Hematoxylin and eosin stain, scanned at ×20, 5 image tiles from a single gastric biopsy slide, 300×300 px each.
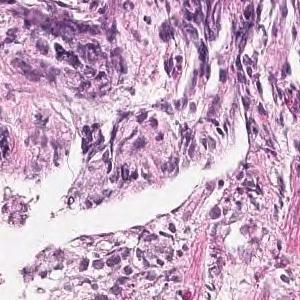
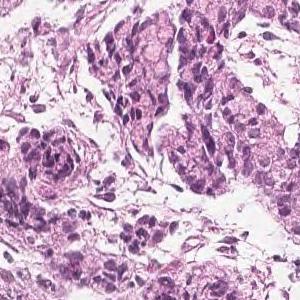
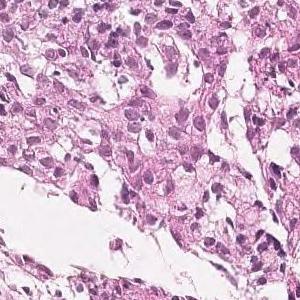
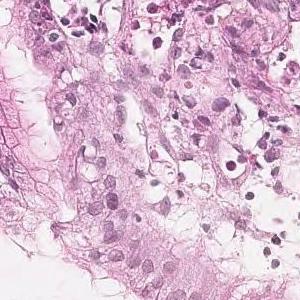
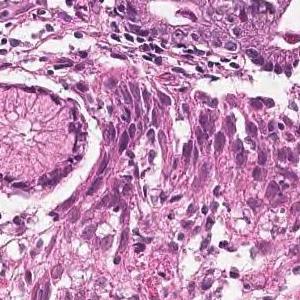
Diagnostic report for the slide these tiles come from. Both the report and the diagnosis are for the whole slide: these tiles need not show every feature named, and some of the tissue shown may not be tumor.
Tumor tissue consisting of medium-sized, cord-like or irregular glandular infiltration is observed in the superficial epithelium. Poorly differentiated adenocarcinoma, non-solid type or moderately differentiated tubular adenocarcinoma
The non-solid type named here is a Japanese Classification of Gastric Carcinoma category.
